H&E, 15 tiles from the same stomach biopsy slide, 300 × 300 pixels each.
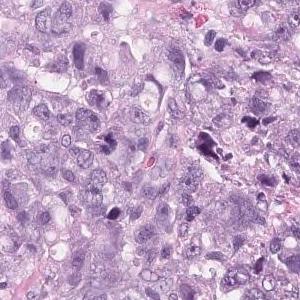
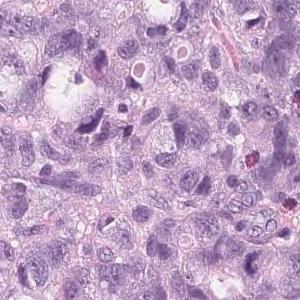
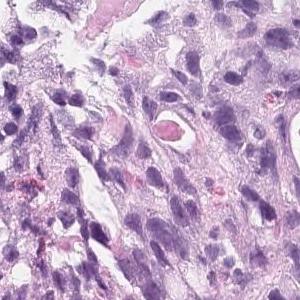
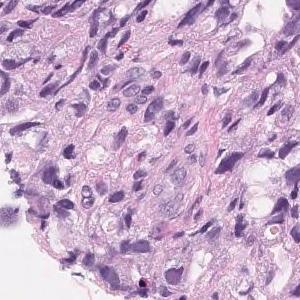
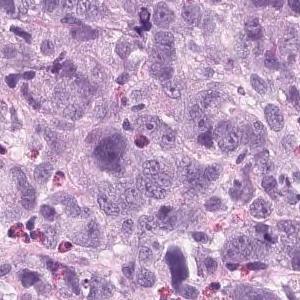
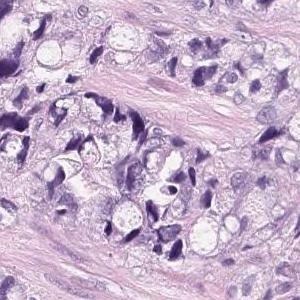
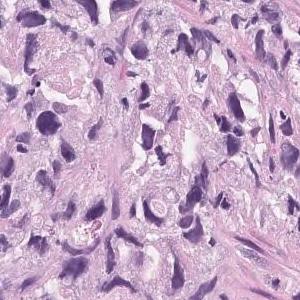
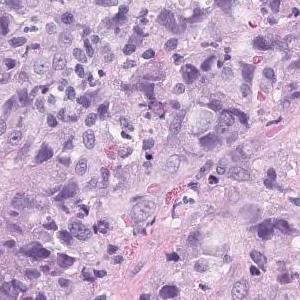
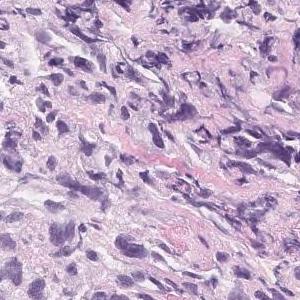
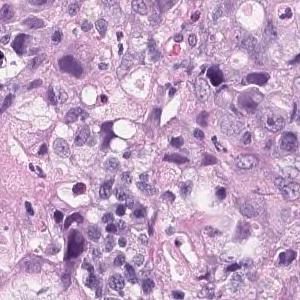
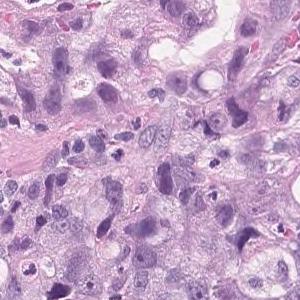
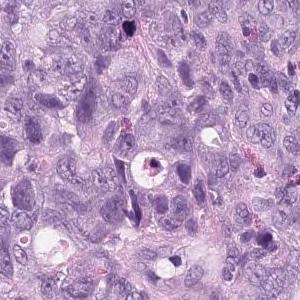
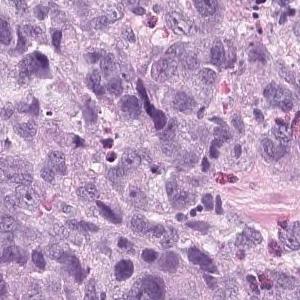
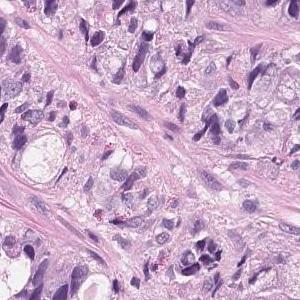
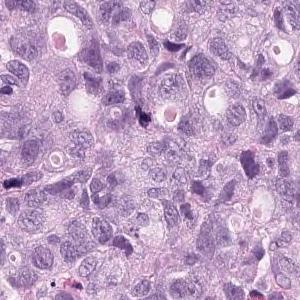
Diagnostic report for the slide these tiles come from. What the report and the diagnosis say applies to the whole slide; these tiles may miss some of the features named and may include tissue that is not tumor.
Tumor tissue that infiltrates and proliferates by forming small glandular cavities in the superficial layer to the submucosa or forming a mass is observed. moderately differentiated tubular adenocarcinoma
